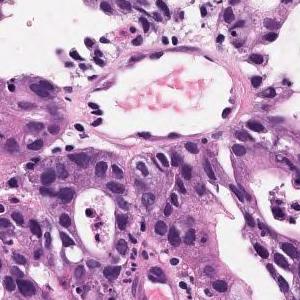
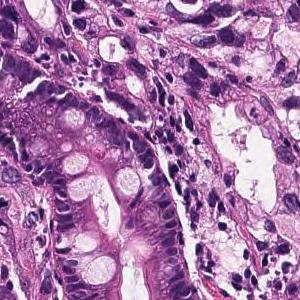
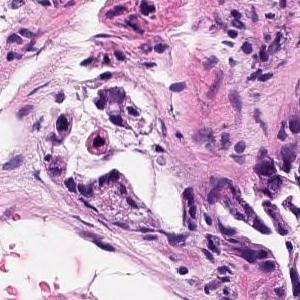
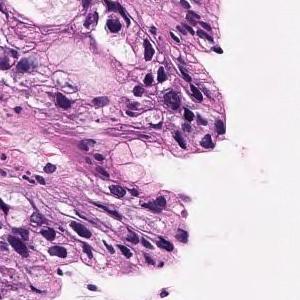
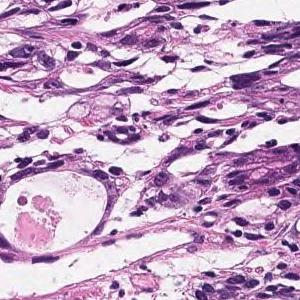
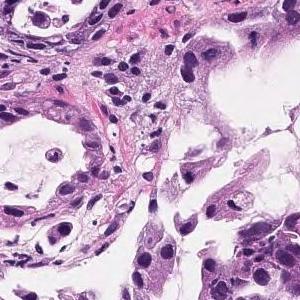
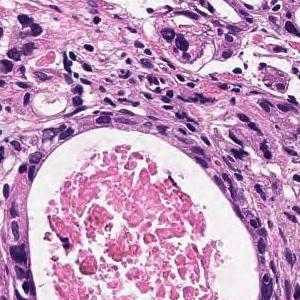
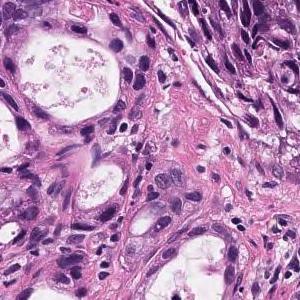
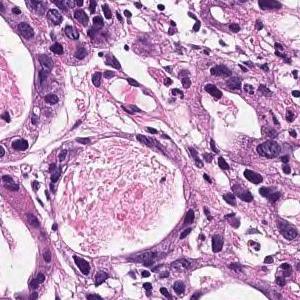
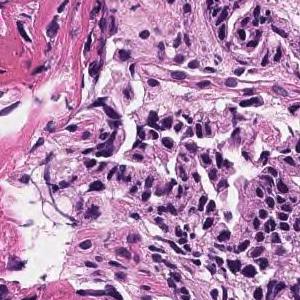
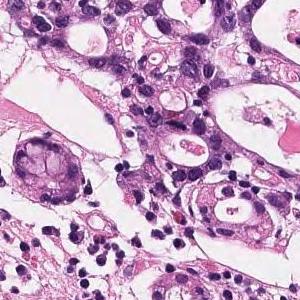
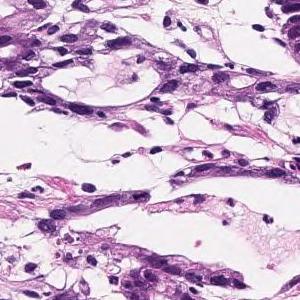
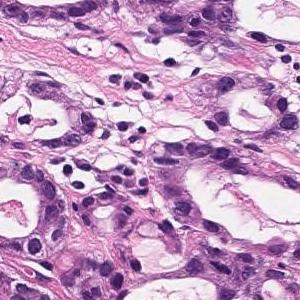
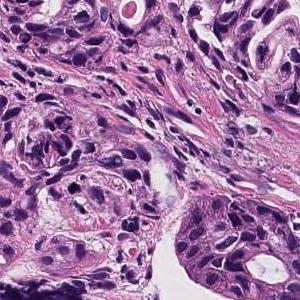
Hematoxylin and eosin stain; 20× magnification; 14 image tiles from a single gastric biopsy slide; 300×300 px each.
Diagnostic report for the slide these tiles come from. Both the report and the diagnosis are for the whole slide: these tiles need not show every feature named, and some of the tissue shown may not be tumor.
In the superficial epithelium, tumor tissue that invades by forming medium-sized to small, irregular ducts is observed. Moderately differentiated adenocarcinoma.
Tumor subtype: moderately differentiated tubular adenocarcinoma.
